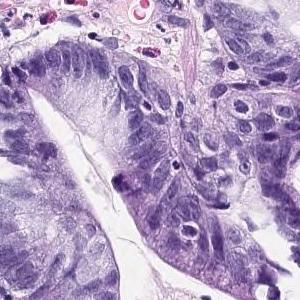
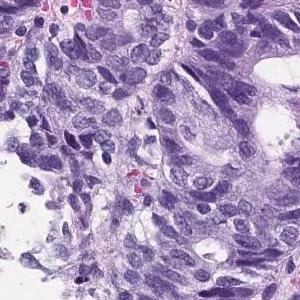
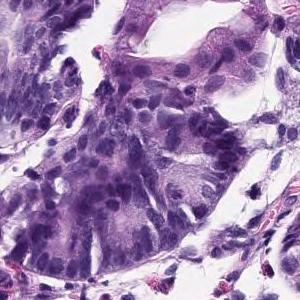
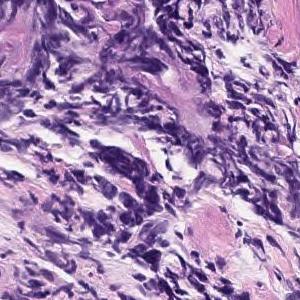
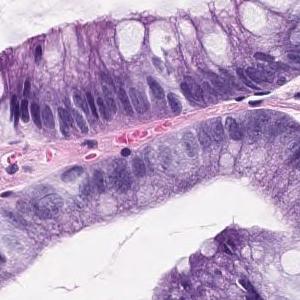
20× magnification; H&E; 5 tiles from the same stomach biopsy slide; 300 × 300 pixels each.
Pathology report for the biopsy slide these tiles were cut from. The report and the diagnosis cover the entire slide, so not every feature they name need be visible here, and some tissue shown may not be tumor.
On the superficial epithelium, tumor tissue consisting of medium-sized to large-sized, round or irregular glandular duct growth images is observed. Well differentiated adenocarcinoma.
Histologic type: Well differentiated tubular adenocarcinoma.
